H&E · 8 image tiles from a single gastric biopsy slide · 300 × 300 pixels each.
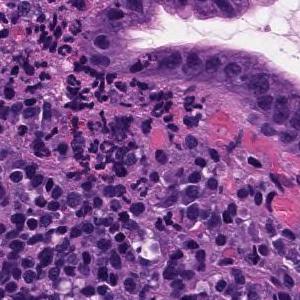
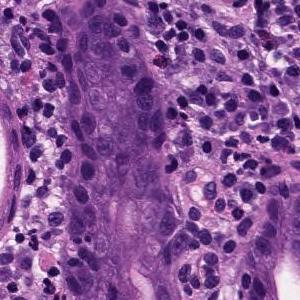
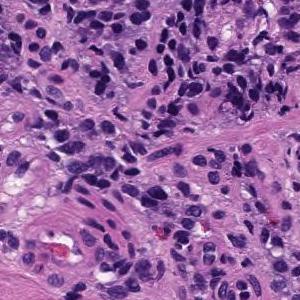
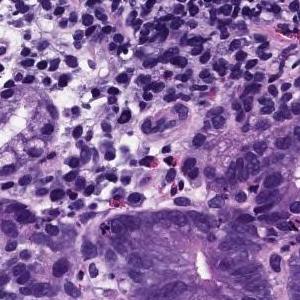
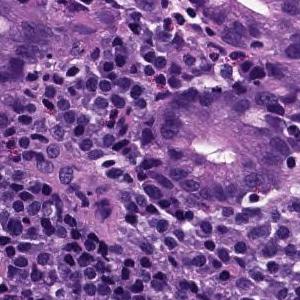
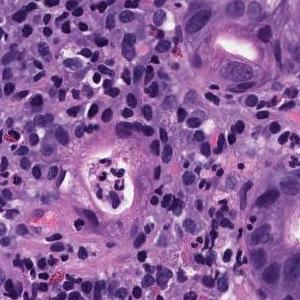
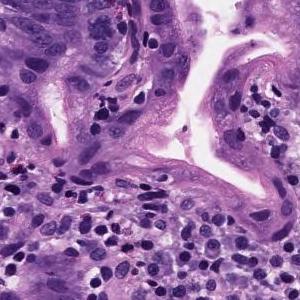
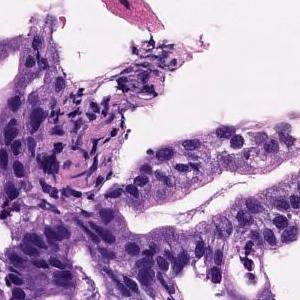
Report on the slide these tiles come from. The report and the diagnosis cover the entire slide, so not every feature they name need be visible here, and some tissue shown may not be tumor.
Medium to small, irregular glandular ducts are formed in the superficial epithelium, and in some cases, the glandular ducts are fused to show solid alveolar lesions and infiltrating tumor tissue is observed. Moderately to poorly differentiated adenocarcinoma.
